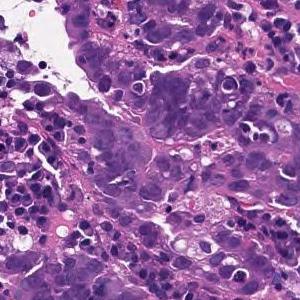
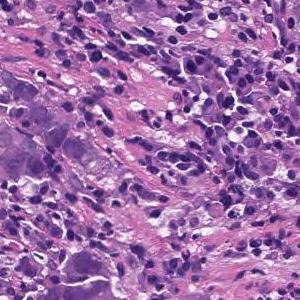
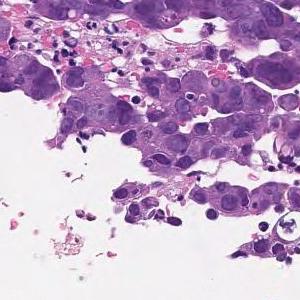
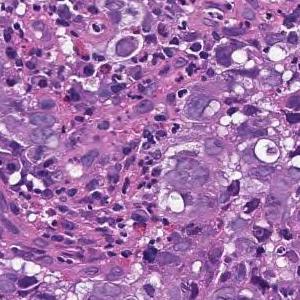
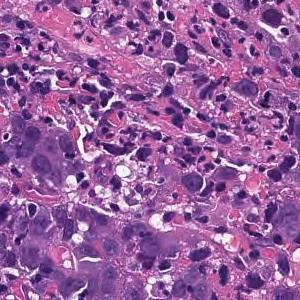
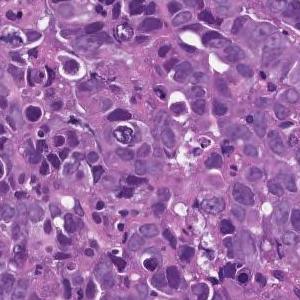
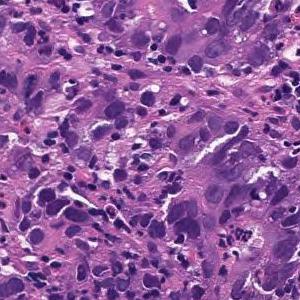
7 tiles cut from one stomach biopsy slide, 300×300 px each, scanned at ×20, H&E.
Report on the slide these tiles come from. The report and the diagnosis describe the slide as a whole, so these tiles may not show every feature named and may include non-tumor tissue.
Tumor tissue consisting of cord-like or small, irregular glandular ducts fused and infiltrated is observed in the superficial epithelium. Poorly differentiated adenocarcinoma, non-solid type
The non-solid type named here is a Japanese Classification of Gastric Carcinoma category.
